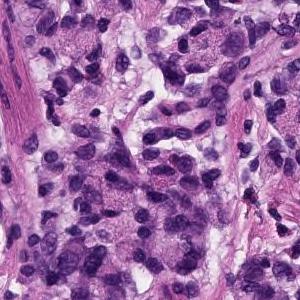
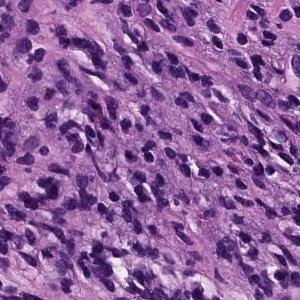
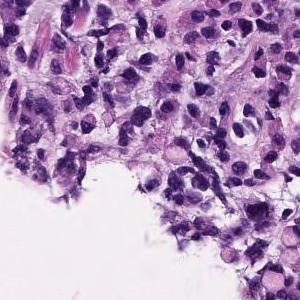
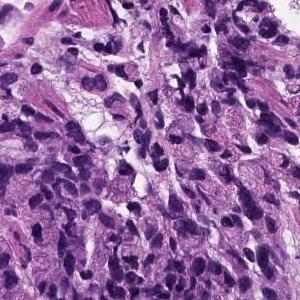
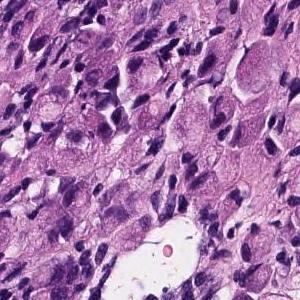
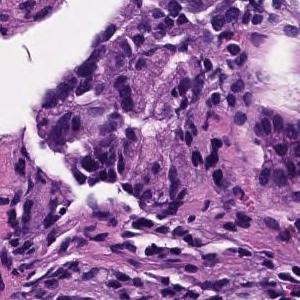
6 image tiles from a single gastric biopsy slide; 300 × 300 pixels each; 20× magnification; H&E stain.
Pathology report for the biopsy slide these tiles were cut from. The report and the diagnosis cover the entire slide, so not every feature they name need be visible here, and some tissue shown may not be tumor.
The superficial epithelium shows a large sheet-like shape, and some tumor tissue infiltrates with small irregular ducts. Poorly differentiated adenocarcinoma, solid-type
Classified as poorly differentiated adenocarcinoma, solid type, a category of the Japanese Classification of Gastric Carcinoma; in the WHO 2019 classification it is tubular adenocarcinoma, poorly differentiated.
